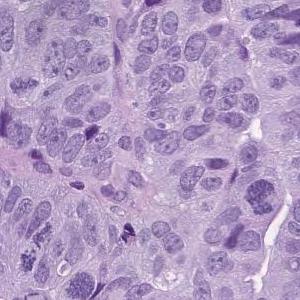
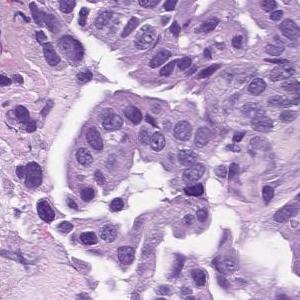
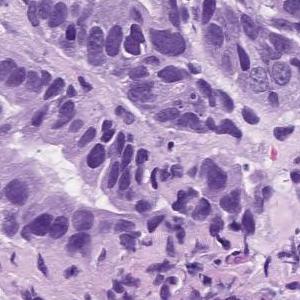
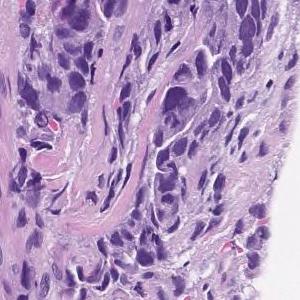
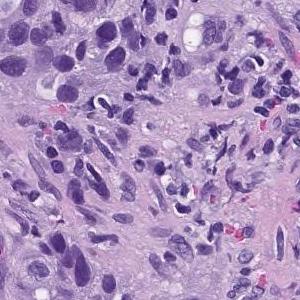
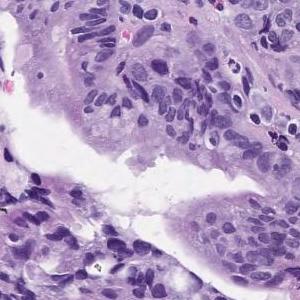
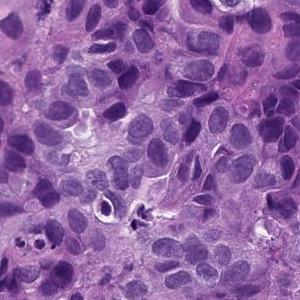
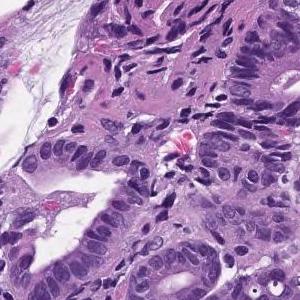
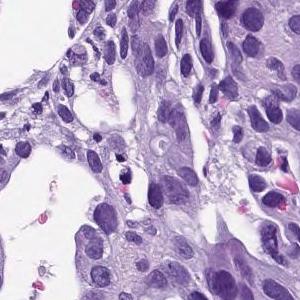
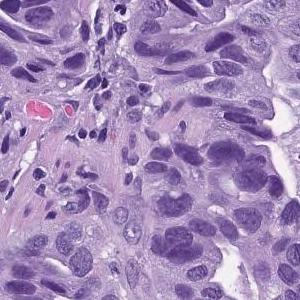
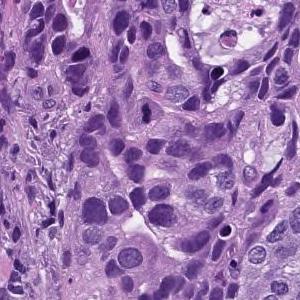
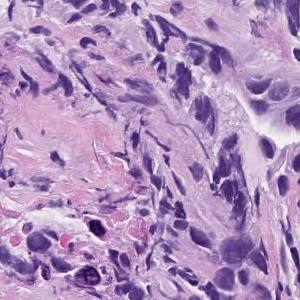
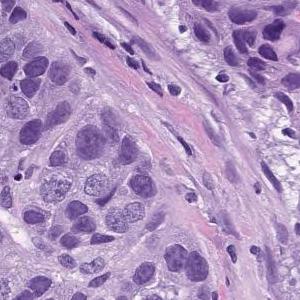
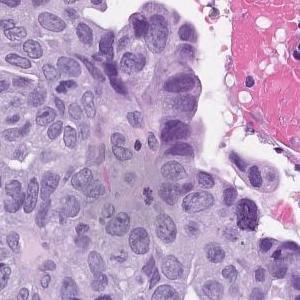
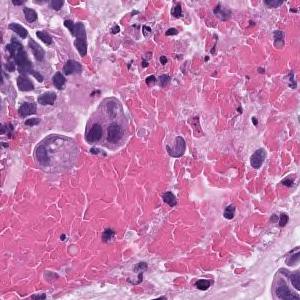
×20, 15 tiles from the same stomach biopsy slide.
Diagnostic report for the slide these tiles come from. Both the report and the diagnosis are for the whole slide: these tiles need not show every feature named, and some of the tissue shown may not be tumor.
In the superficial epithelium, tumor tissue that invades by forming medium-sized to small, irregular ducts is observed. moderately differentiated tubular adenocarcinoma.
